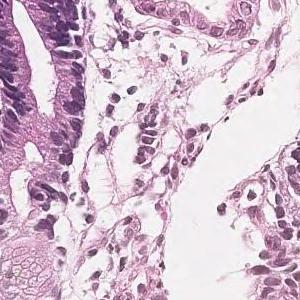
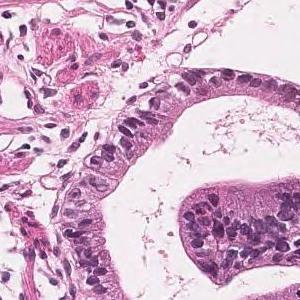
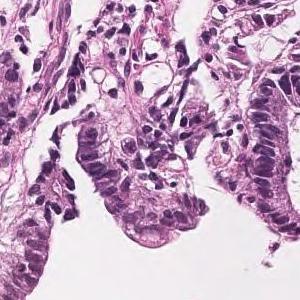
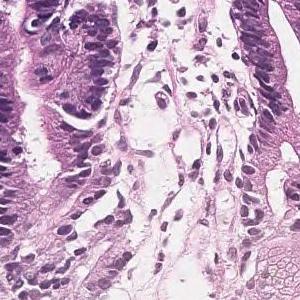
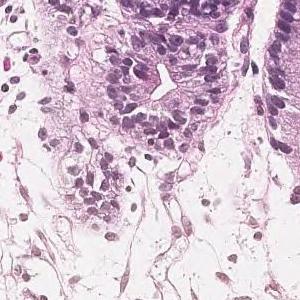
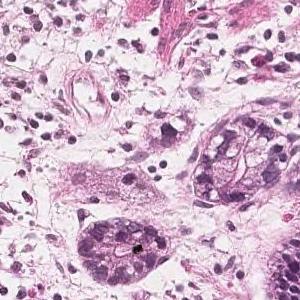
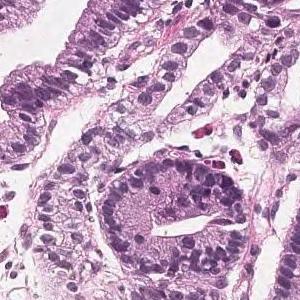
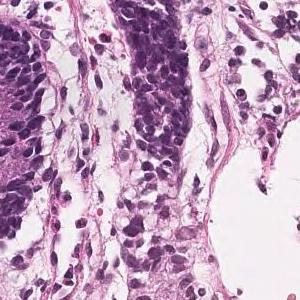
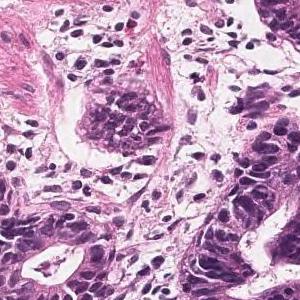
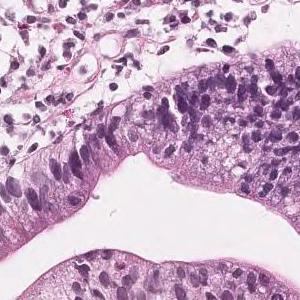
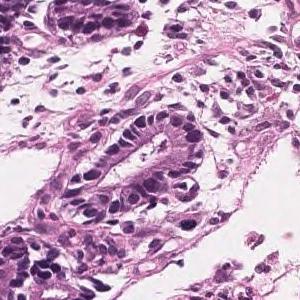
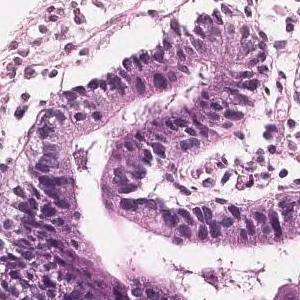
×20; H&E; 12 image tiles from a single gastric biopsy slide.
Pathology report for the slide these tiles were cut from. Both the report and the diagnosis are for the whole slide: these tiles need not show every feature named, and some of the tissue shown may not be tumor.
Most of the tumor remains in the epithelium and shows a medium-sized circular system or irregular ducts, showing proliferating and developing tumor tissue. Well differentiated tubular adenocarcinoma
